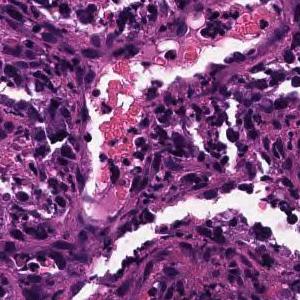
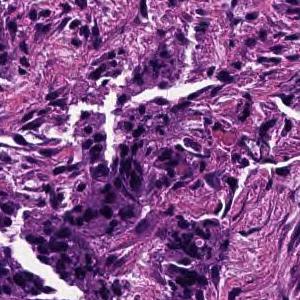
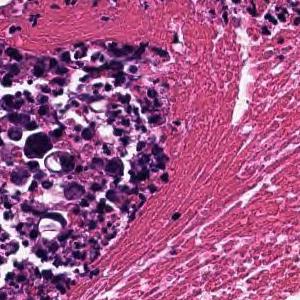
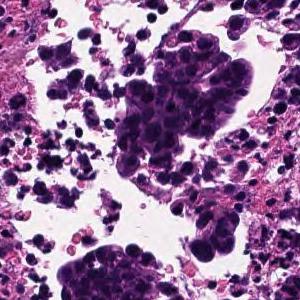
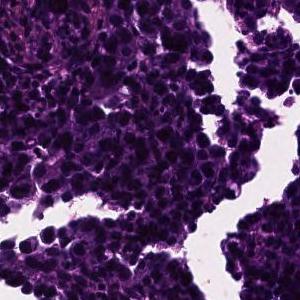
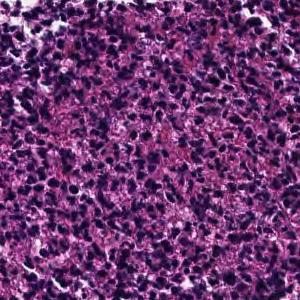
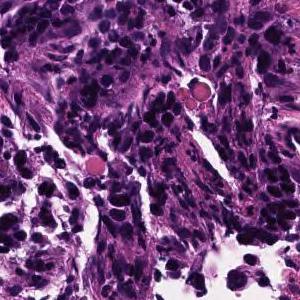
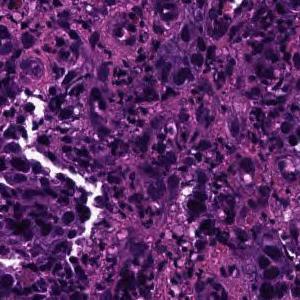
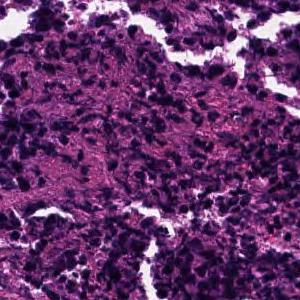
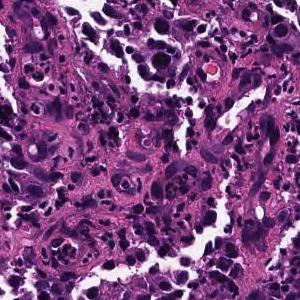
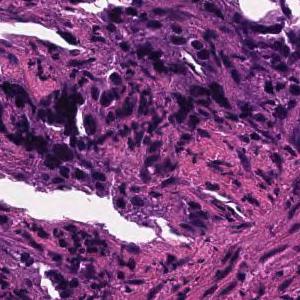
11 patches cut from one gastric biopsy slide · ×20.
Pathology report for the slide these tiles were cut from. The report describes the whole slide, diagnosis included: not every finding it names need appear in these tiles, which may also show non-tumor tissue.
In the superficial epithelium, tumor tissue that invades by forming medium-sized to small, irregular ducts is observed. moderately differentiated tubular adenocarcinoma.
